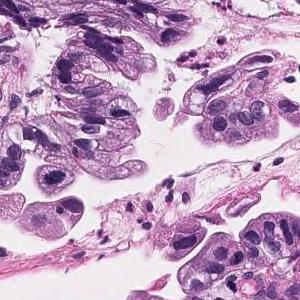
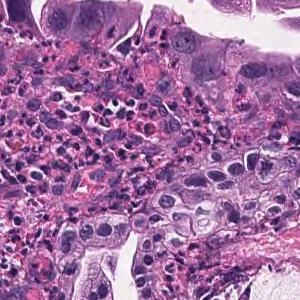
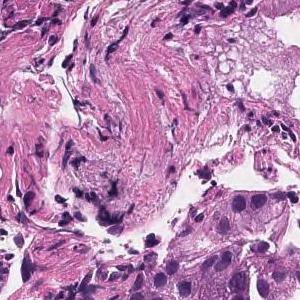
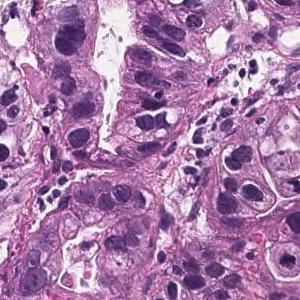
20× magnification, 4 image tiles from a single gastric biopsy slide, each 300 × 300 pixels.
Pathology report for the slide these tiles were cut from. The report describes the whole slide, diagnosis included: not every finding it names need appear in these tiles, which may also show non-tumor tissue.
Tumor cells are large, highly columnar, large club-shaped nuclei, and are associated with chromatin aggregation. Papillary adenocarcinoma.
